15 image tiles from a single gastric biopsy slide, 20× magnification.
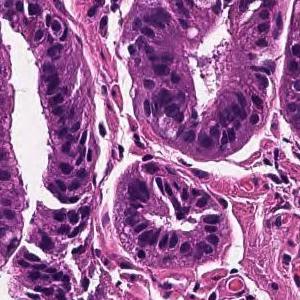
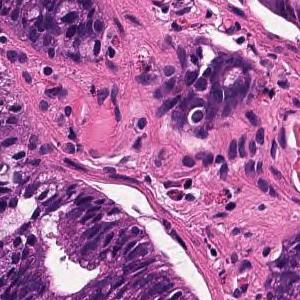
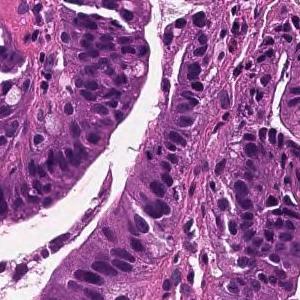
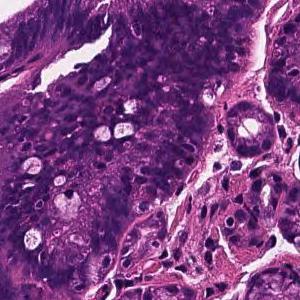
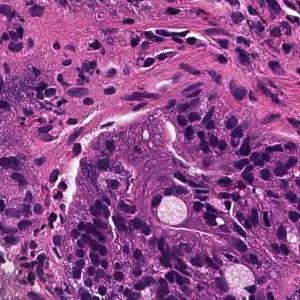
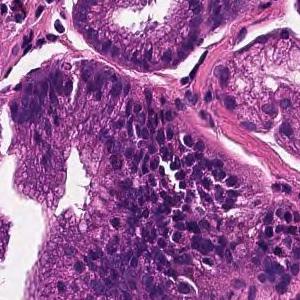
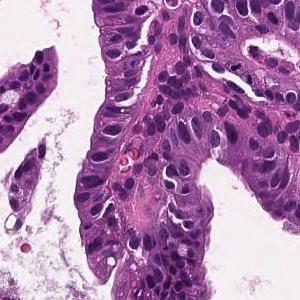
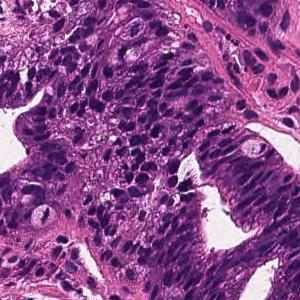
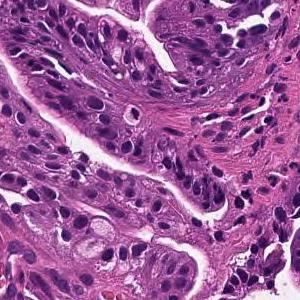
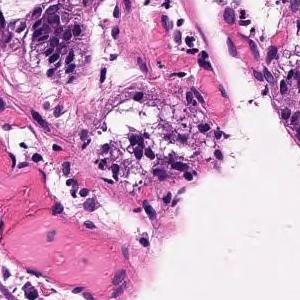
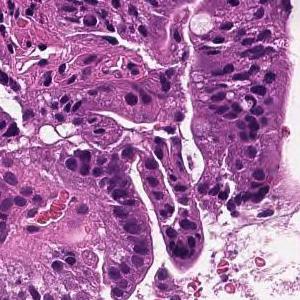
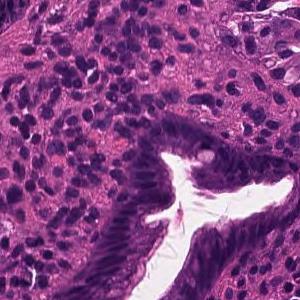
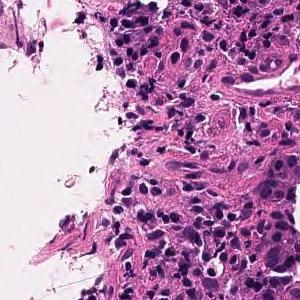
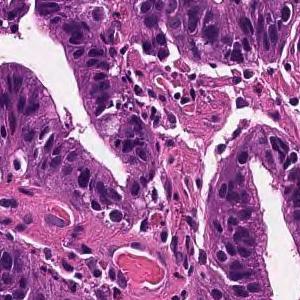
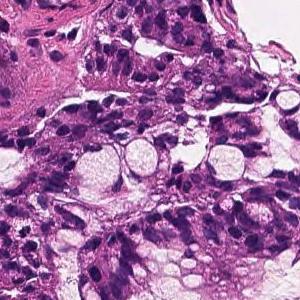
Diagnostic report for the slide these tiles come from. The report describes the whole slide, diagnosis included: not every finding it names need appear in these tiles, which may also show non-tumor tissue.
On the superficial epithelium, tumor tissue that infiltrates by forming medium-sized papillary or small irregular ducts is observed. Papillary adenocarcinoma
